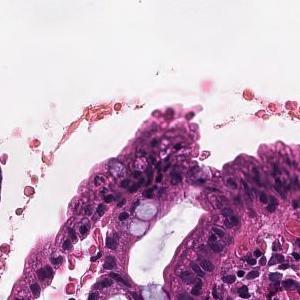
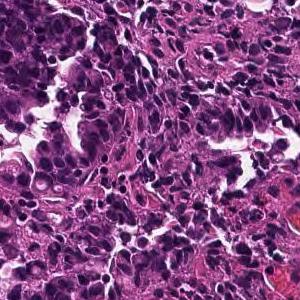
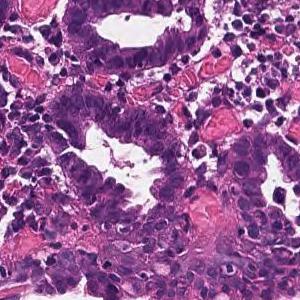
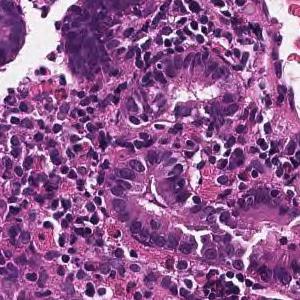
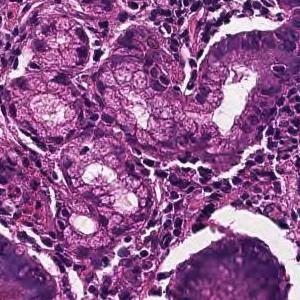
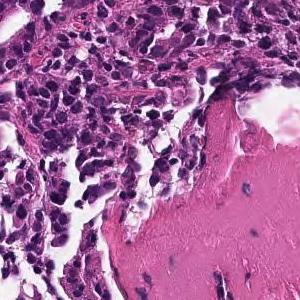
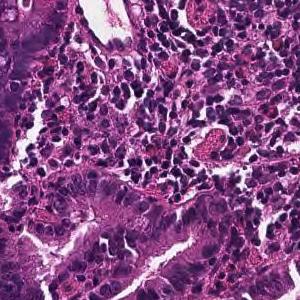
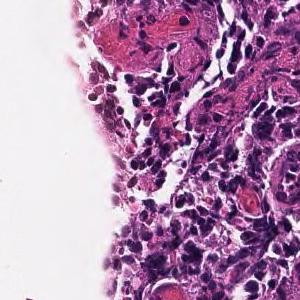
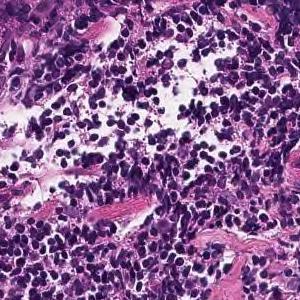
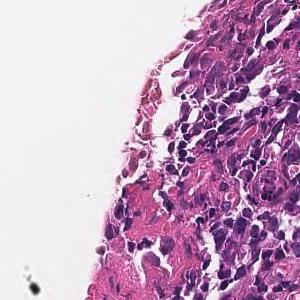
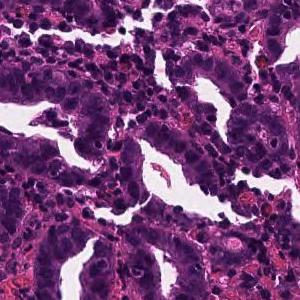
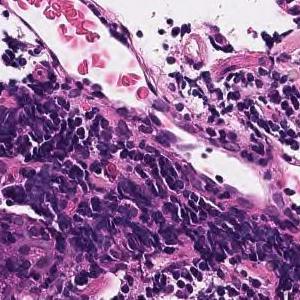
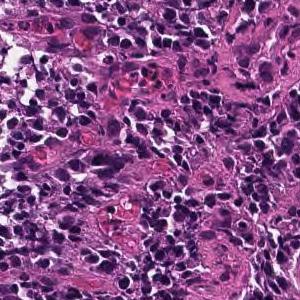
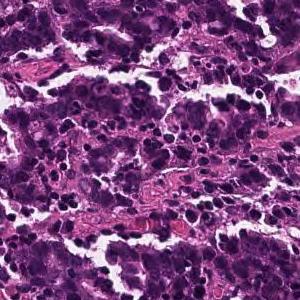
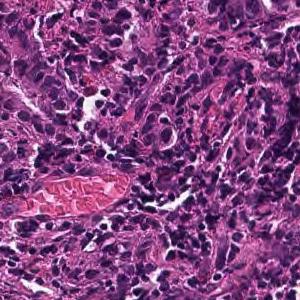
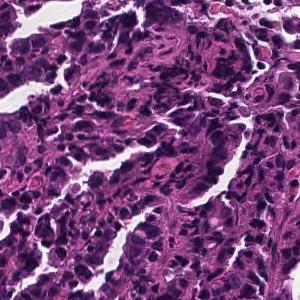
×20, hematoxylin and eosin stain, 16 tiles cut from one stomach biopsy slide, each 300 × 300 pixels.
Report on the slide these tiles come from. The report and the diagnosis cover the entire slide, so not every feature they name need be visible here, and some tissue shown may not be tumor.
In the superficial epithelium, tumor tissue that invades by forming medium-sized to small, irregular ducts is observed. moderately differentiated tubular adenocarcinoma.
